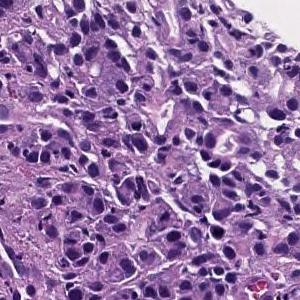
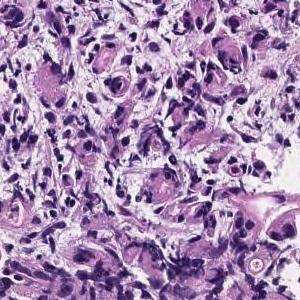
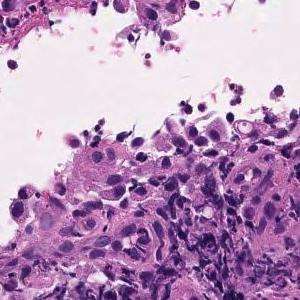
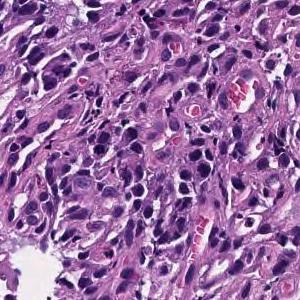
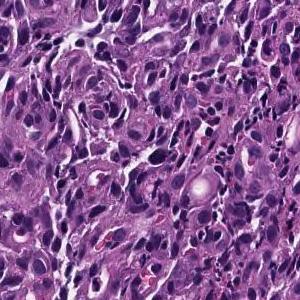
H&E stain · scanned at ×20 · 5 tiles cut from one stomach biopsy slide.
Diagnostic report for the slide these tiles come from. The report and the diagnosis describe the slide as a whole, so these tiles may not show every feature named and may include non-tumor tissue.
The superficial epithelium shows a large sheet-like shape, and some tumor tissue infiltrates with small irregular ducts. Poorly differentiated adenocarcinoma, solid-type
Tumor subtype: poorly differentiated adenocarcinoma, solid type, a category of the Japanese Classification of Gastric Carcinoma; in the WHO 2019 classification it is tubular adenocarcinoma, poorly differentiated.
